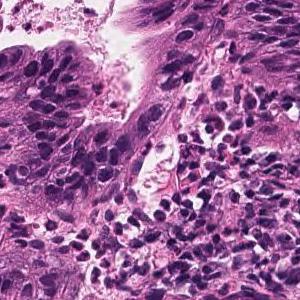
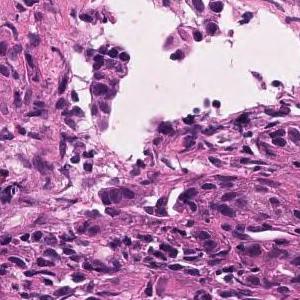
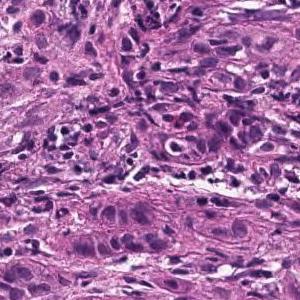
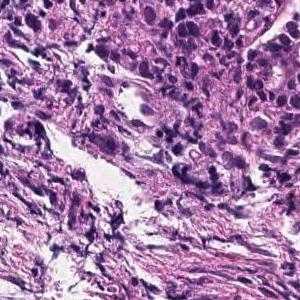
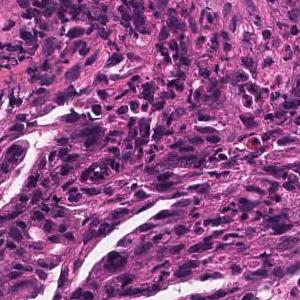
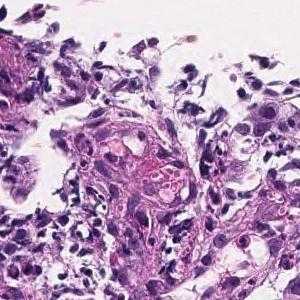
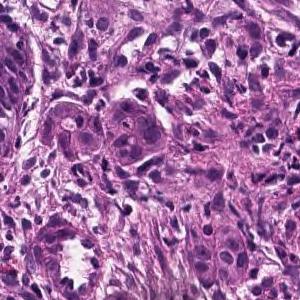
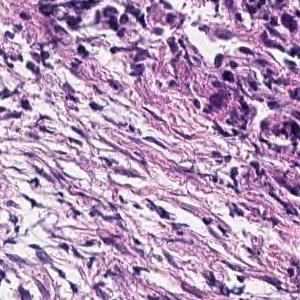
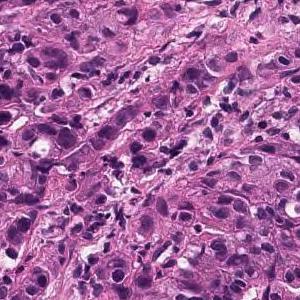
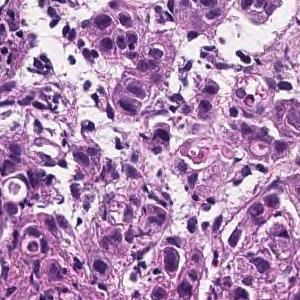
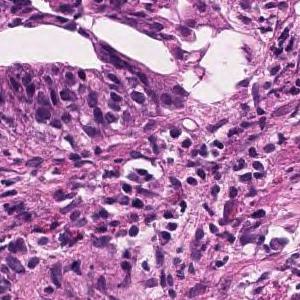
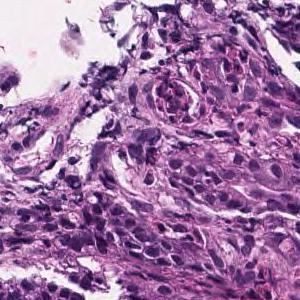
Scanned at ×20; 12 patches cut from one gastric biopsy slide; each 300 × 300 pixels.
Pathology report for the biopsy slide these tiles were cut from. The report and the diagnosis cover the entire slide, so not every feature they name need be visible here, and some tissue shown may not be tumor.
Tumor tissue consisting of medium-sized, cord-like or irregular glandular infiltration is observed in the superficial epithelium. Poorly differentiated adenocarcinoma, non-solid type or moderately differentiated tubular adenocarcinoma
The non-solid type named here is a Japanese Classification of Gastric Carcinoma category.
